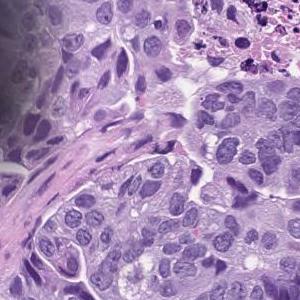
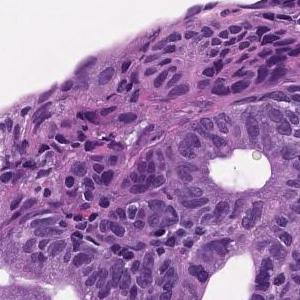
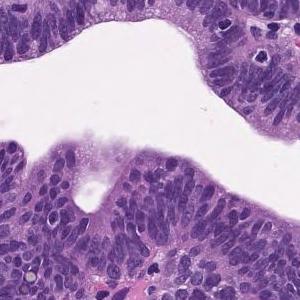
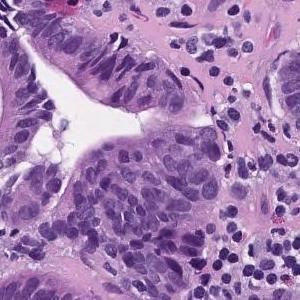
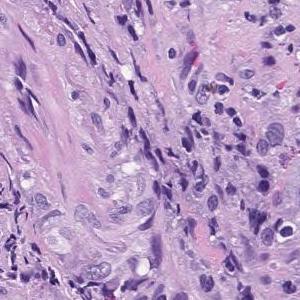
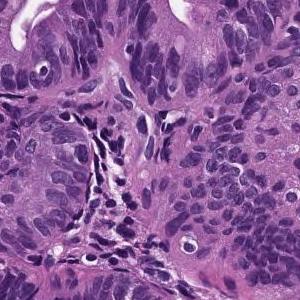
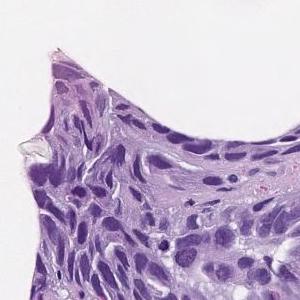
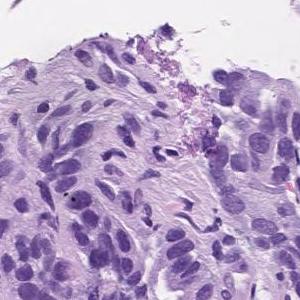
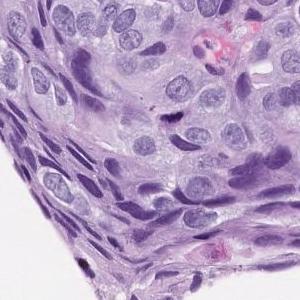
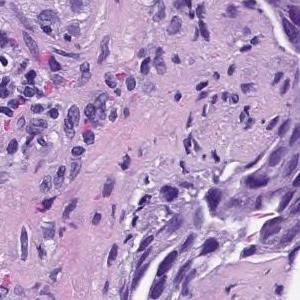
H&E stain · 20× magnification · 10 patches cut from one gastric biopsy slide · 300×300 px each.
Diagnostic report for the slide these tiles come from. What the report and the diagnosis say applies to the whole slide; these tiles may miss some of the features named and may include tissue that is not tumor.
In the superficial epithelium, tumor tissue that invades by forming medium-sized to small, irregular ducts is observed. moderately differentiated tubular adenocarcinoma.
